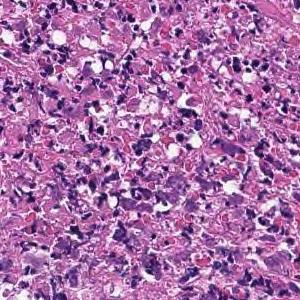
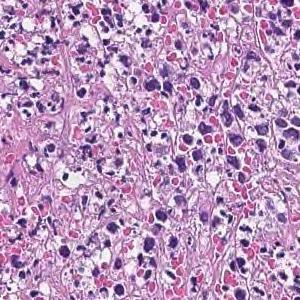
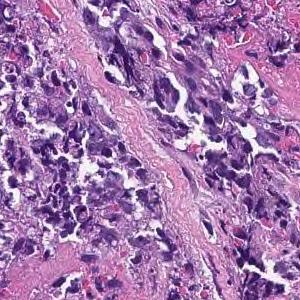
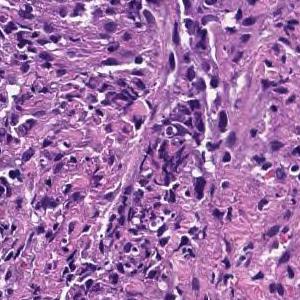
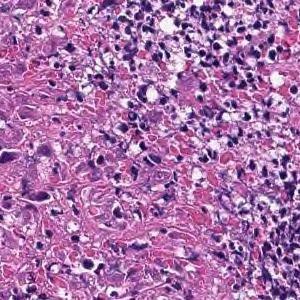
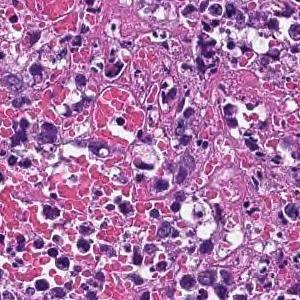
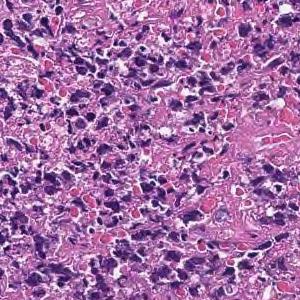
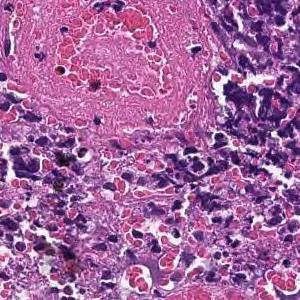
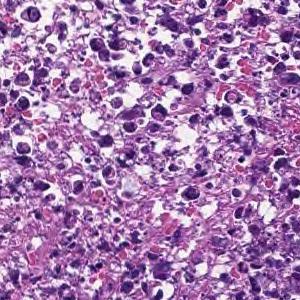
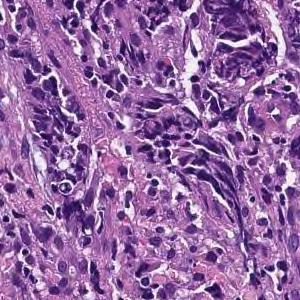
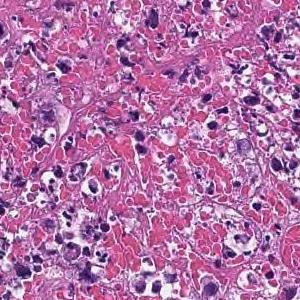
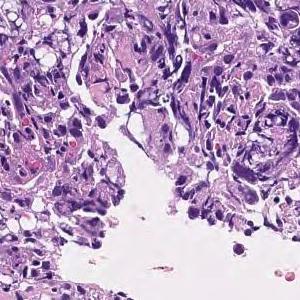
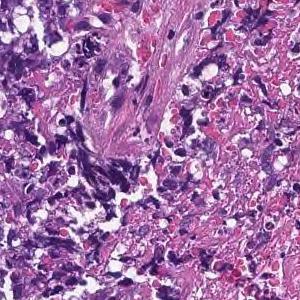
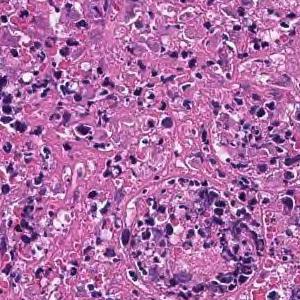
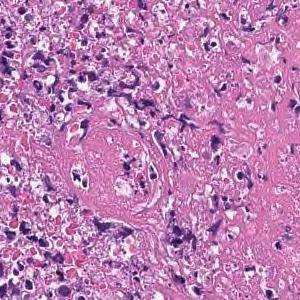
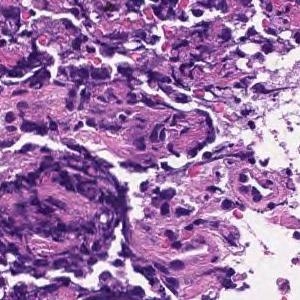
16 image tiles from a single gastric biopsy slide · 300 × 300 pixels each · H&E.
Report on the slide these tiles come from. Both the report and the diagnosis are for the whole slide: these tiles need not show every feature named, and some of the tissue shown may not be tumor.
Most are composed of coagulative necrotic tissue, but some show a large sheet-like shape, and some show tumor tissue infiltrating with a small cord-like structure. Poorly differentiated adenocarcinoma, solid-type
Tumor subtype: poorly differentiated adenocarcinoma, solid type, a category of the Japanese Classification of Gastric Carcinoma; in the WHO 2019 classification it is tubular adenocarcinoma, poorly differentiated.
